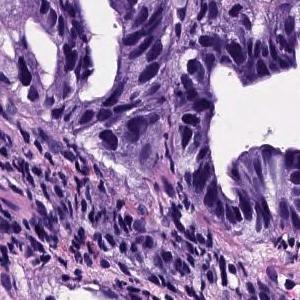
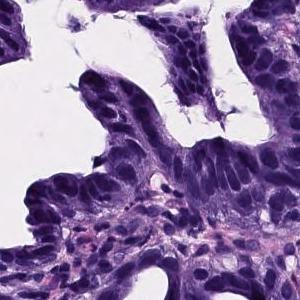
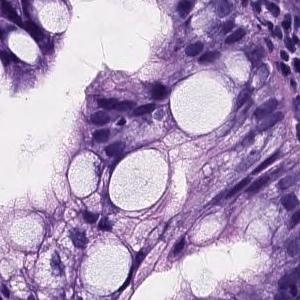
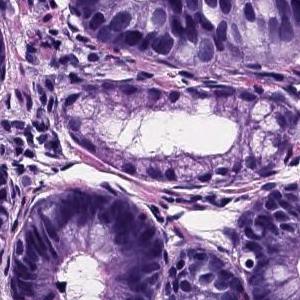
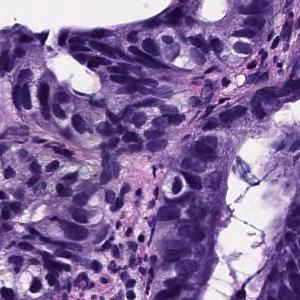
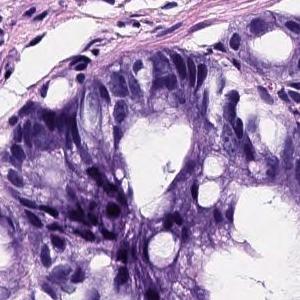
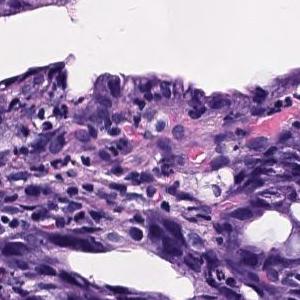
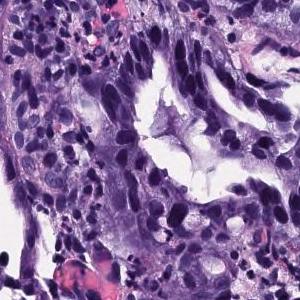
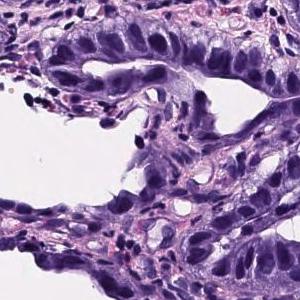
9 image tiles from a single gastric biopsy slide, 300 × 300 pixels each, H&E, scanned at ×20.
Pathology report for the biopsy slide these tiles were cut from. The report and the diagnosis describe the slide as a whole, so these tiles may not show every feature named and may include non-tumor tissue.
Large atypical cells which form medium to large ducts are proliferating. Well differentiated adenocarcinoma (well differentiated tubular adenocarcinoma)
Subtype: Well differentiated tubular adenocarcinoma.
